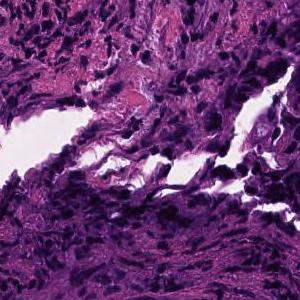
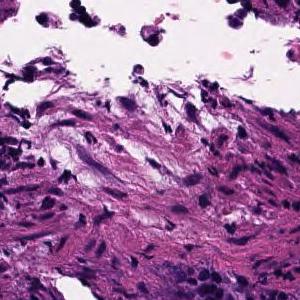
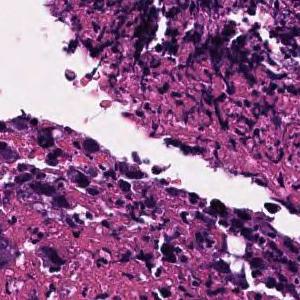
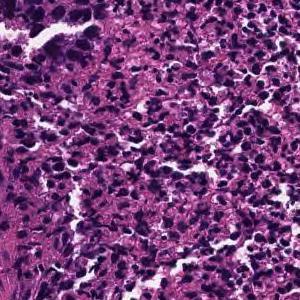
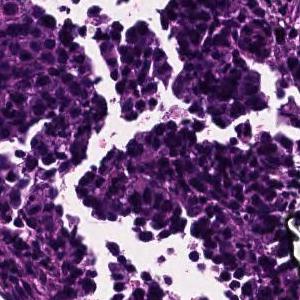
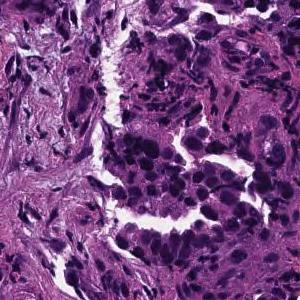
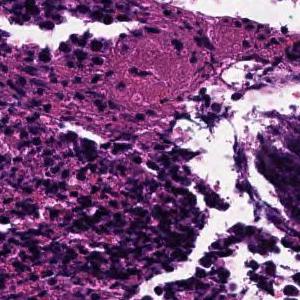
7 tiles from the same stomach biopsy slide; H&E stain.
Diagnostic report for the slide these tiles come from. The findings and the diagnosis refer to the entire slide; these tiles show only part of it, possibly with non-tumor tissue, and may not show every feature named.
In the superficial epithelium, tumor tissue that invades by forming medium-sized to small, irregular ducts is observed. moderately differentiated tubular adenocarcinoma.
